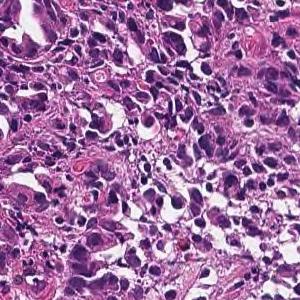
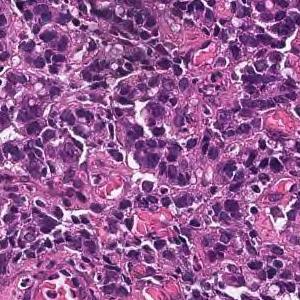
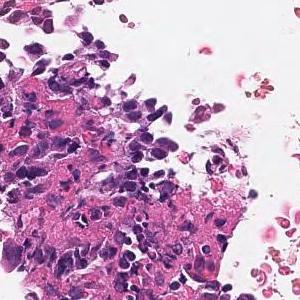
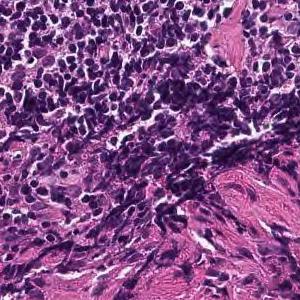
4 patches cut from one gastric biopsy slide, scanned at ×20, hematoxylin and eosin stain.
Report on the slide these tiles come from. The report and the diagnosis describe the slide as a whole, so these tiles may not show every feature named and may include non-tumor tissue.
In the superficial epithelium, tumor tissue that invades by forming medium-sized to small, irregular ducts is observed. moderately differentiated tubular adenocarcinoma.
